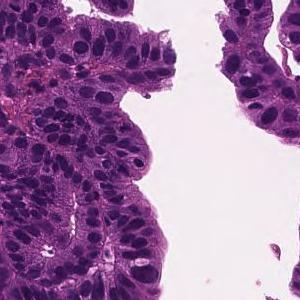
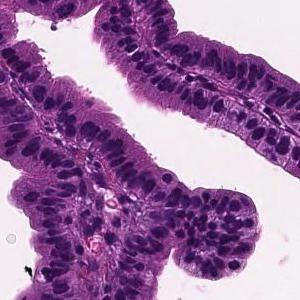
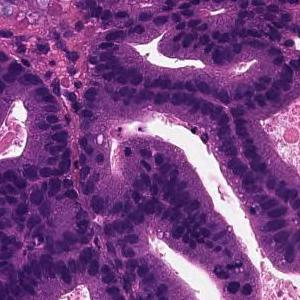
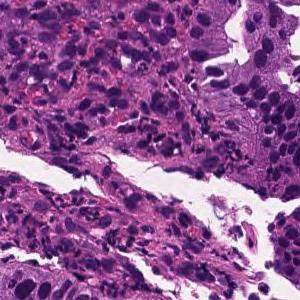
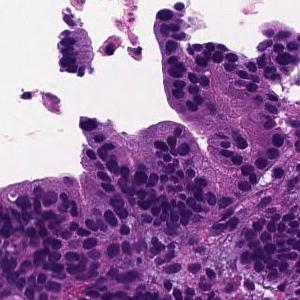
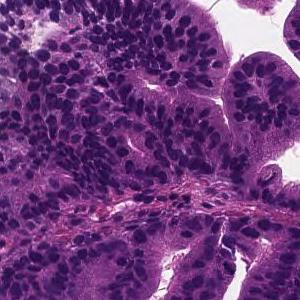
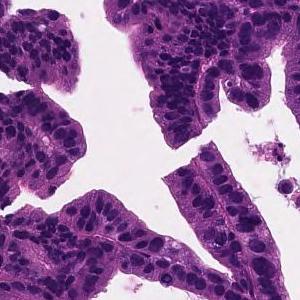
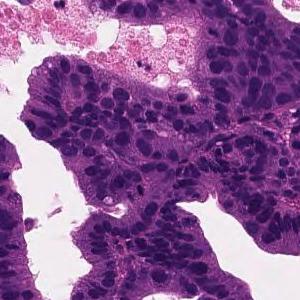
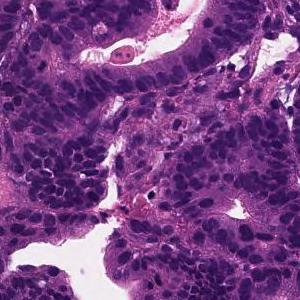
H&E; ×20; 9 tiles from the same stomach biopsy slide.
Report on the slide these tiles come from. The report and the diagnosis cover the entire slide, so not every feature they name need be visible here, and some tissue shown may not be tumor.
Tumor cells are large, highly columnar, large club-shaped nuclei, and are associated with chromatin aggregation. Papillary adenocarcinoma.
